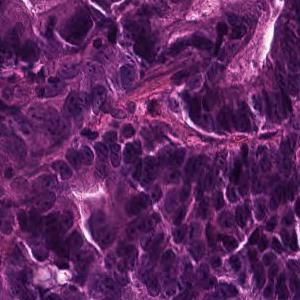
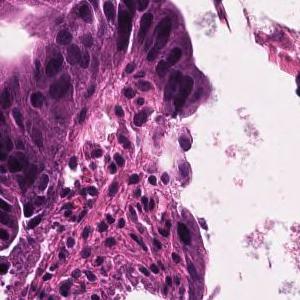
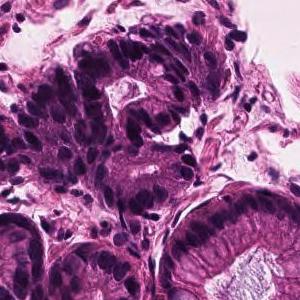
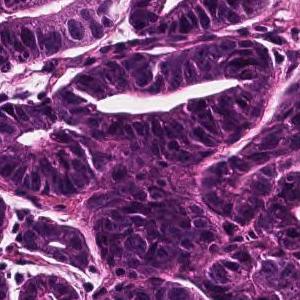
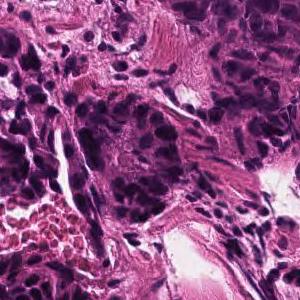
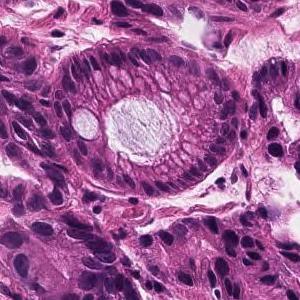
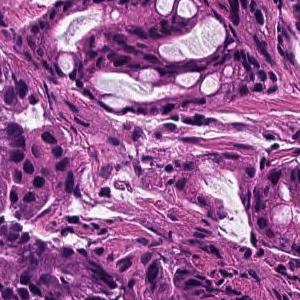
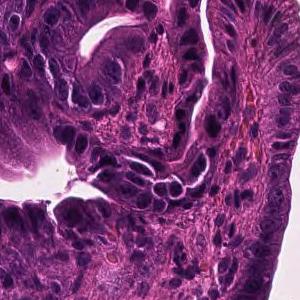
20× magnification · 8 patches cut from one gastric biopsy slide · 300×300 px each.
Pathology report for the slide these tiles were cut from. Both the report and the diagnosis are for the whole slide: these tiles need not show every feature named, and some of the tissue shown may not be tumor.
In the superficial epithelium, tumor tissue that invades by forming medium-sized to small, irregular ducts is observed. Well differentiated tubular adenocarcinoma.
